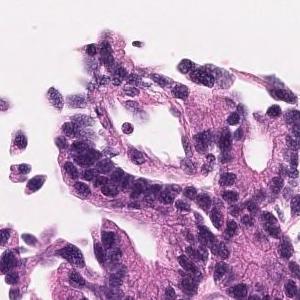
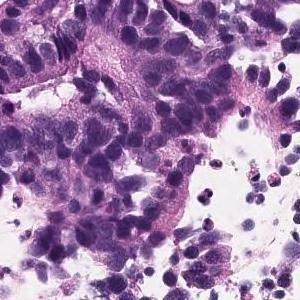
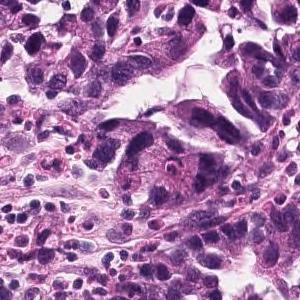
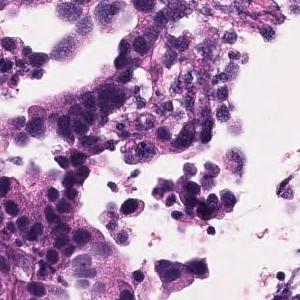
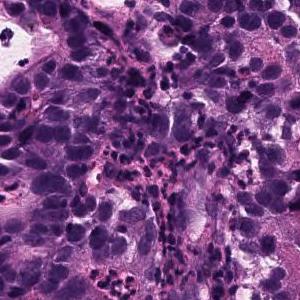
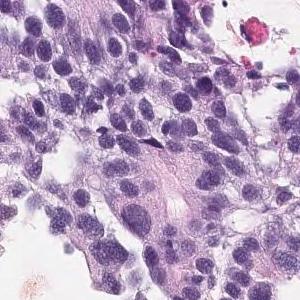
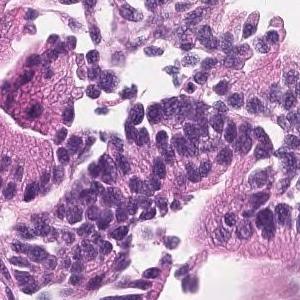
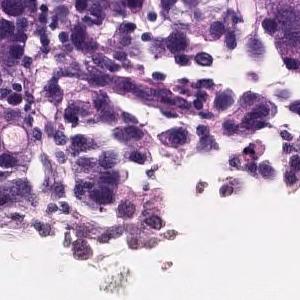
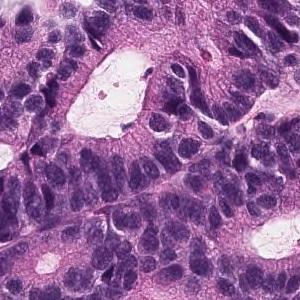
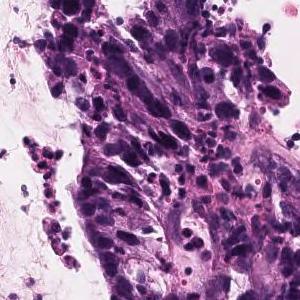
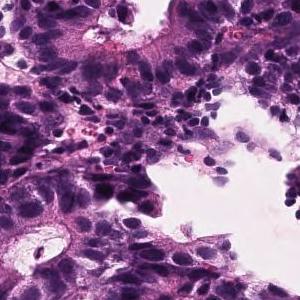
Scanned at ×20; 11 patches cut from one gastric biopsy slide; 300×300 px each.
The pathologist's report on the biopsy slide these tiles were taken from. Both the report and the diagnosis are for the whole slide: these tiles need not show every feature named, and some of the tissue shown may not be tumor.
In the superficial epithelium, tumor tissue that invades by forming medium-sized to small, irregular ducts is observed. moderately differentiated tubular adenocarcinoma.
